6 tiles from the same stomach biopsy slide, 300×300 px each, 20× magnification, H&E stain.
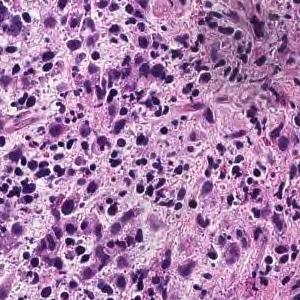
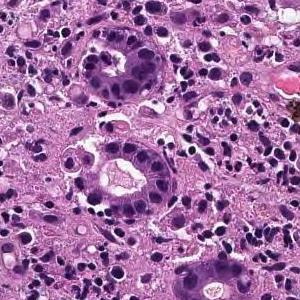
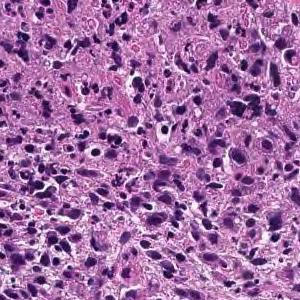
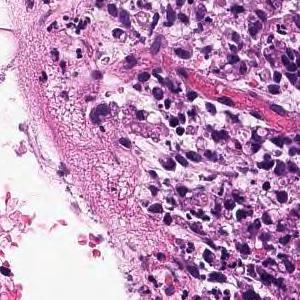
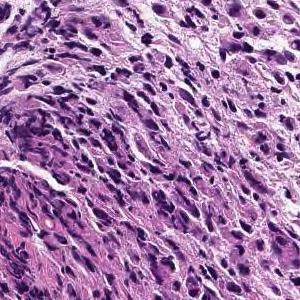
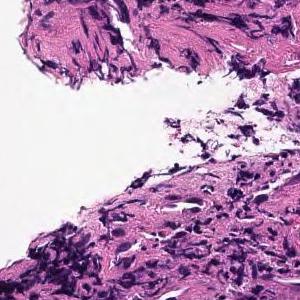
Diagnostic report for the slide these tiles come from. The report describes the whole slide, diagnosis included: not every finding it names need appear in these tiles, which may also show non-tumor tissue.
Large sheet-like or diffusely infiltrating tumor tissue is found in the superficial epithelium. Poorly differentiated adenocarcinoma, solid-type
Tumor subtype: poorly differentiated adenocarcinoma, solid type. This name comes from the Japanese Classification of Gastric Carcinoma; the WHO 2019 classification calls it tubular adenocarcinoma, poorly differentiated.
